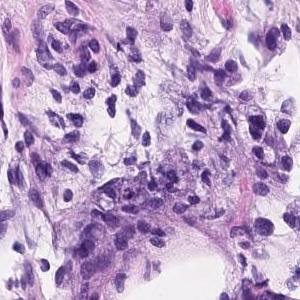
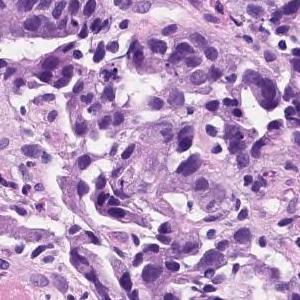
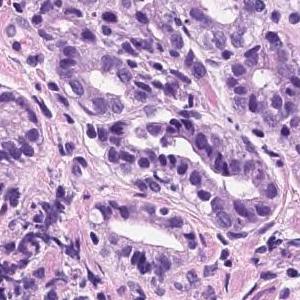
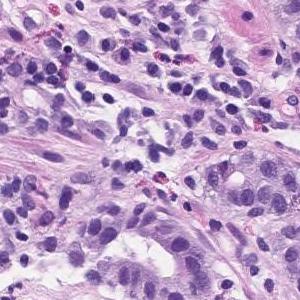
Hematoxylin and eosin stain; 4 patches cut from one gastric biopsy slide; 300 × 300 pixels each.
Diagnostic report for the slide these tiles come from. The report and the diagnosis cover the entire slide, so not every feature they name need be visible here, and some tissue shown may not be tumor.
Tumor tissue consisting of medium-sized and irregular ducts is observed infiltrating in the superficial epithelium. Tumor cells are highly columnar, with nuclei aligned basolaterally and polarized. Well differentiated tubular adenocarcinoma.
